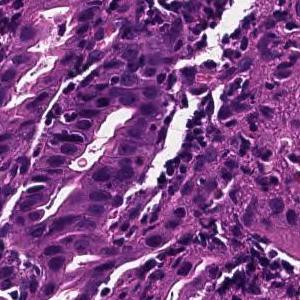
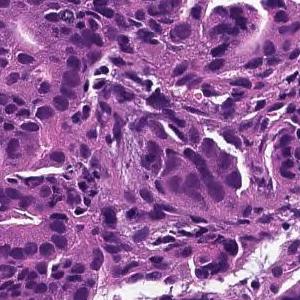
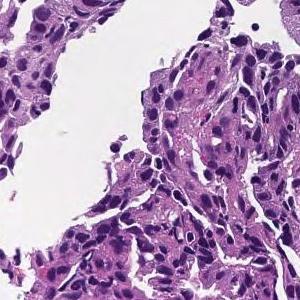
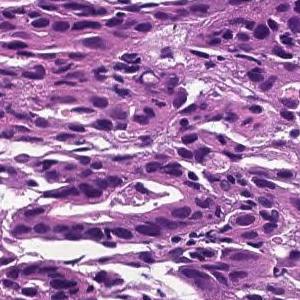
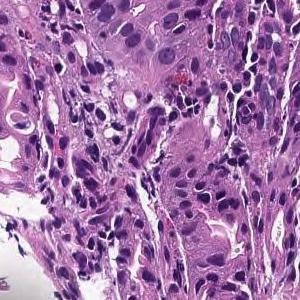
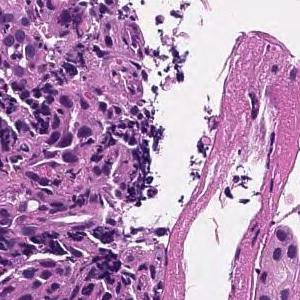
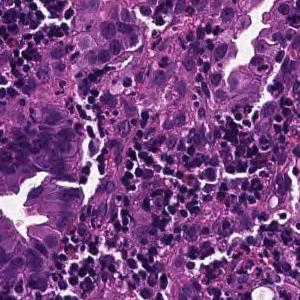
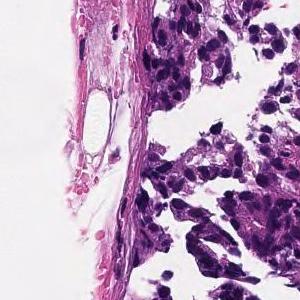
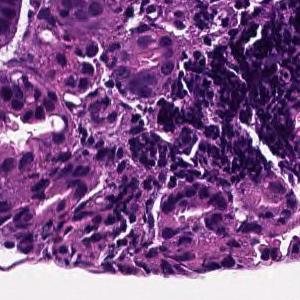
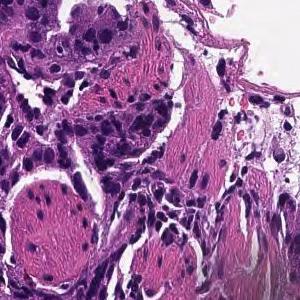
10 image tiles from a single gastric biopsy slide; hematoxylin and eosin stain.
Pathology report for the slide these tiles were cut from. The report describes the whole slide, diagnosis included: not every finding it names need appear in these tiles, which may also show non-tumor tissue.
In the superficial epithelium, tumor tissue that invades by forming medium-sized to small, irregular ducts is observed. moderately differentiated tubular adenocarcinoma.
